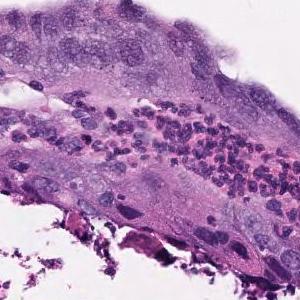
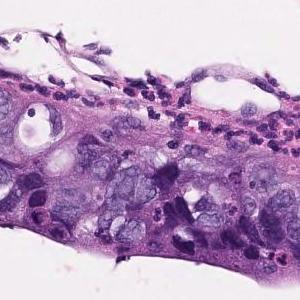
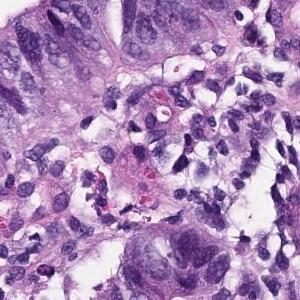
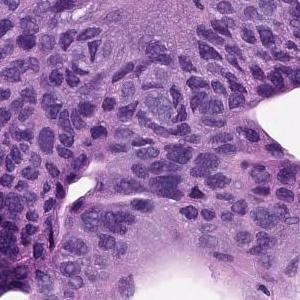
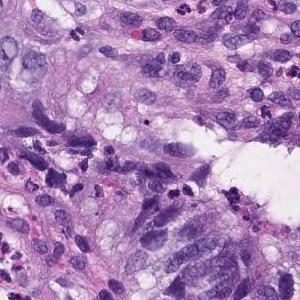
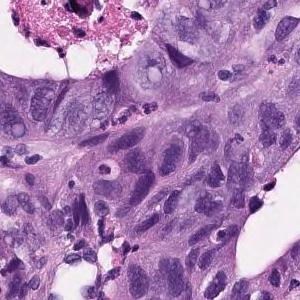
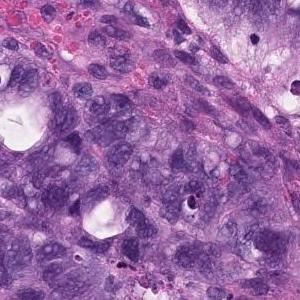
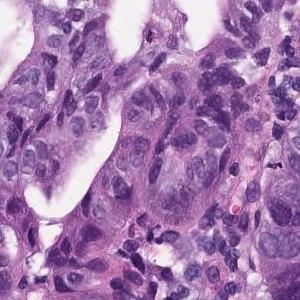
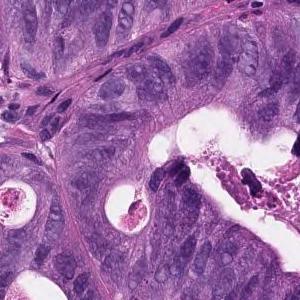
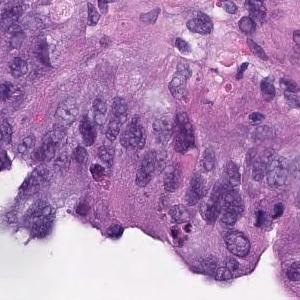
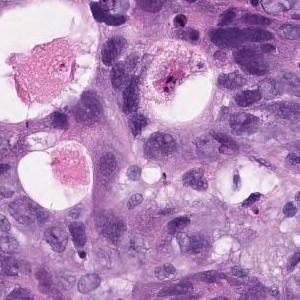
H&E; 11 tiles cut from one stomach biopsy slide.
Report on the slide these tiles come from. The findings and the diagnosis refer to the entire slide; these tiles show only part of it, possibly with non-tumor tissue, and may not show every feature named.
In the superficial epithelium, tumor tissue that invades by forming medium-sized to small, irregular ducts is observed. Moderately differentiated adenocarcinoma.
Histological subtype: Moderately differentiated tubular adenocarcinoma.
